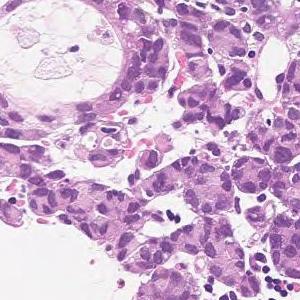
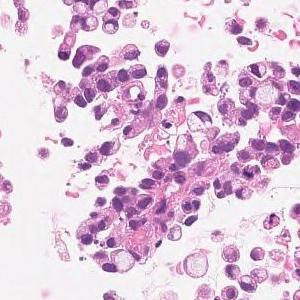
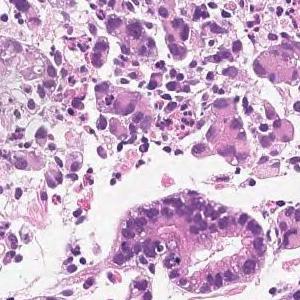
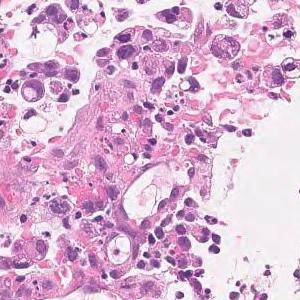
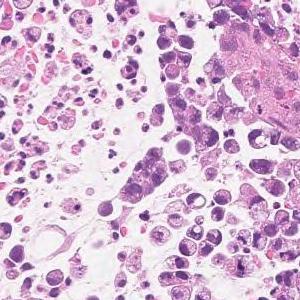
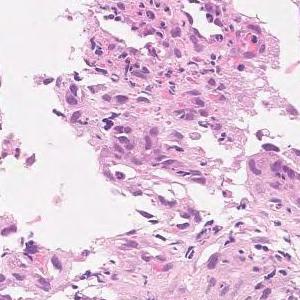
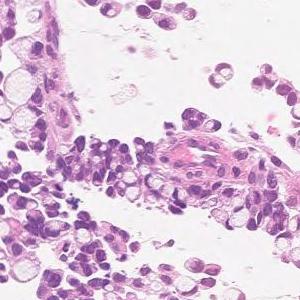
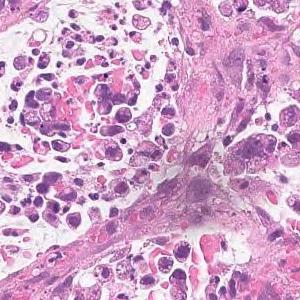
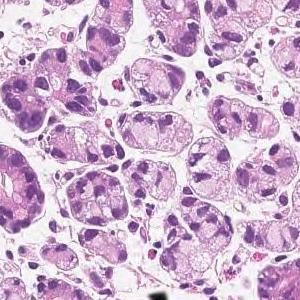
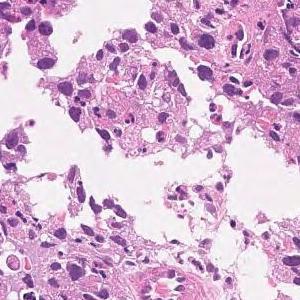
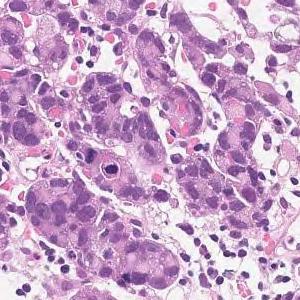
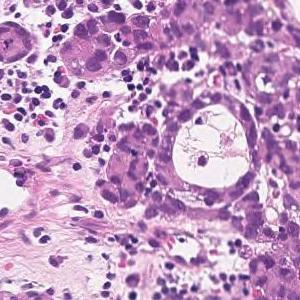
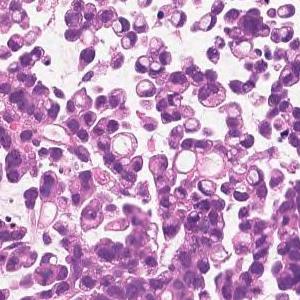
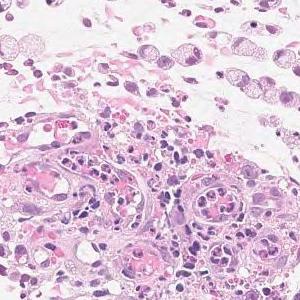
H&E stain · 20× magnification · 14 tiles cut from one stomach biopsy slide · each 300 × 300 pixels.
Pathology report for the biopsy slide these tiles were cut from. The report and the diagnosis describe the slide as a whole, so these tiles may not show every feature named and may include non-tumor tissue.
Medium to small, irregular glandular ducts are formed in the superficial epithelium, and in some cases, the glandular ducts are fused to show solid alveolar lesions and infiltrating tumor tissue is observed. Moderately to poorly differentiated adenocarcinoma.
